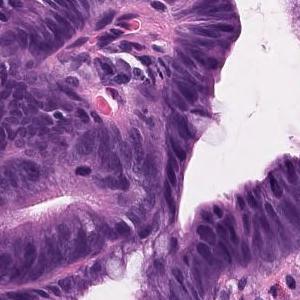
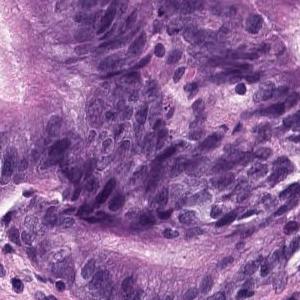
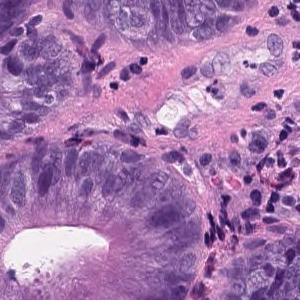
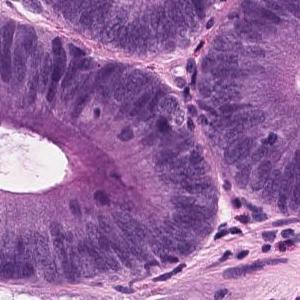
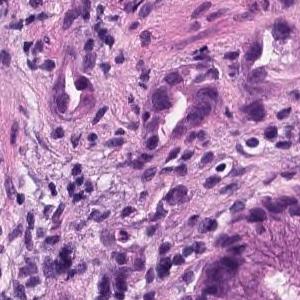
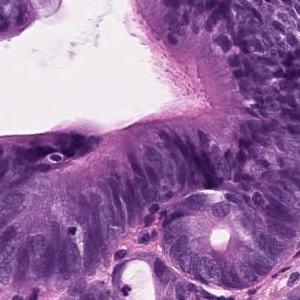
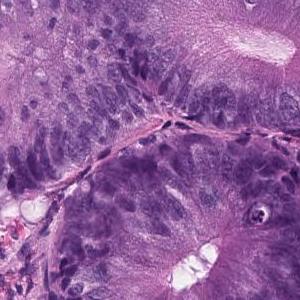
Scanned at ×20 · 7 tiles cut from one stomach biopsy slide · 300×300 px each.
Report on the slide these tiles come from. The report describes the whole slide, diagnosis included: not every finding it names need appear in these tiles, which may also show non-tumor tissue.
On the superficial epithelium, tumor tissue with densely growing medium to large, round tubules is observed. Tumor cells are highly columnar, with nuclei aligned basolaterally and polarized. Well differentiated tubular adenocarcinoma
